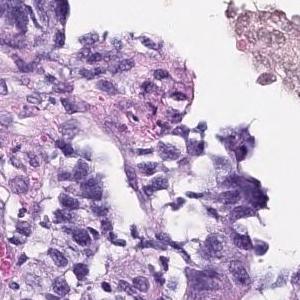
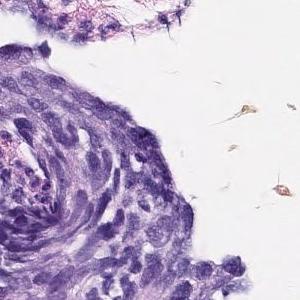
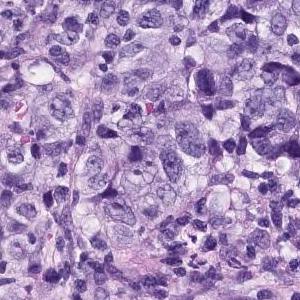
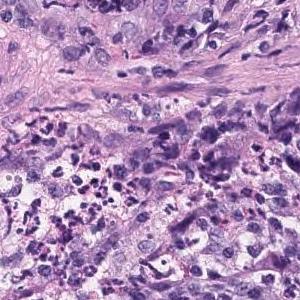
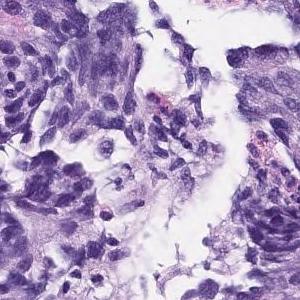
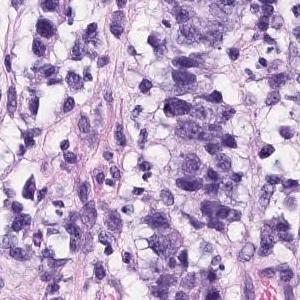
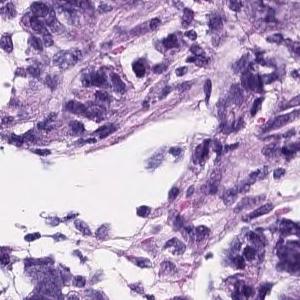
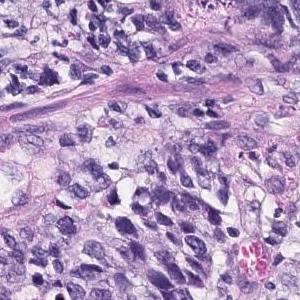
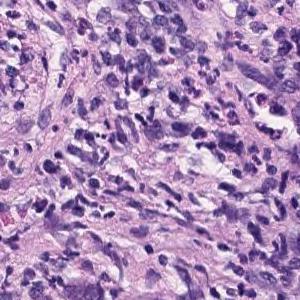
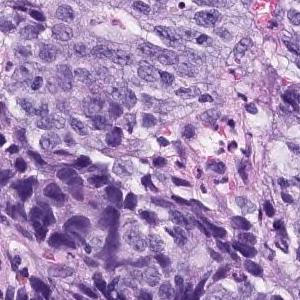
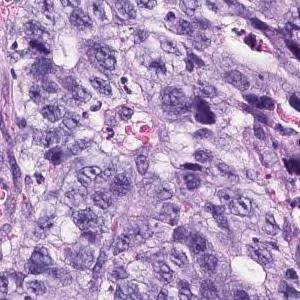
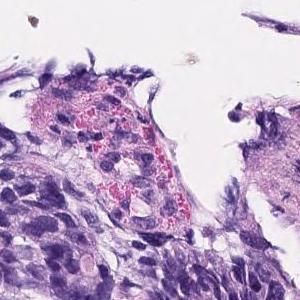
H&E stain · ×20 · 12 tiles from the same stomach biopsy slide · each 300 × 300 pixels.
The pathologist's report on the biopsy slide these tiles were taken from. What the report and the diagnosis say applies to the whole slide; these tiles may miss some of the features named and may include tissue that is not tumor.
The superficial epithelium shows a large sheet-like shape, and some tumor tissue infiltrates with small irregular ducts. Poorly differentiated adenocarcinoma, solid-type
Histological subtype: Poorly differentiated adenocarcinoma, solid type. This name comes from the Japanese Classification of Gastric Carcinoma; the WHO 2019 classification calls it tubular adenocarcinoma, poorly differentiated.
